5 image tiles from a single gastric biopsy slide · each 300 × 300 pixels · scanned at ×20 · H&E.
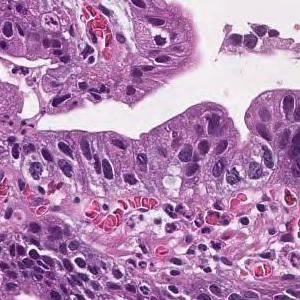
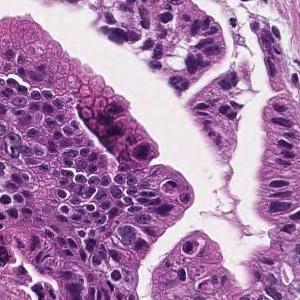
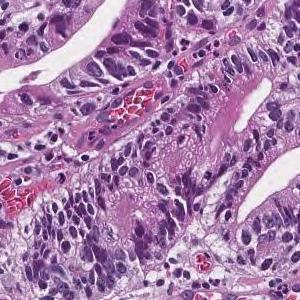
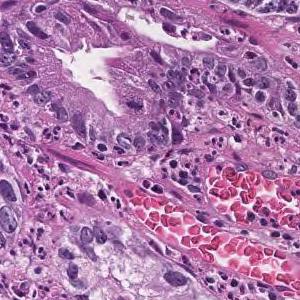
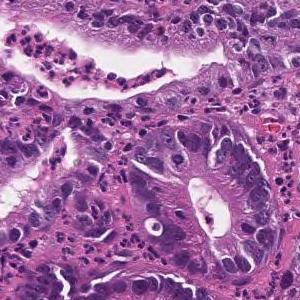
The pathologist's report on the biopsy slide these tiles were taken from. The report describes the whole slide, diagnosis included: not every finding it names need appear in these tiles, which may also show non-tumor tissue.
Tumor cells are large, highly columnar, large club-shaped nuclei, and are associated with chromatin aggregation. Papillary adenocarcinoma.
